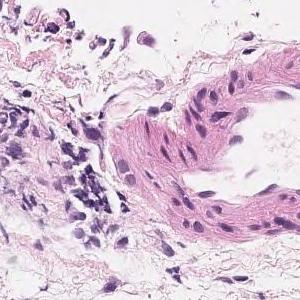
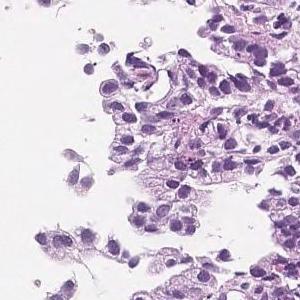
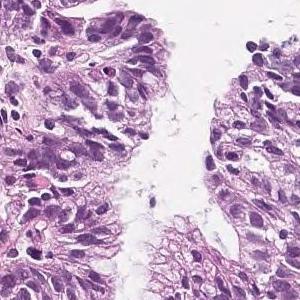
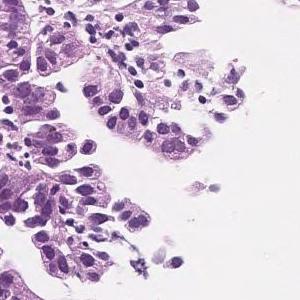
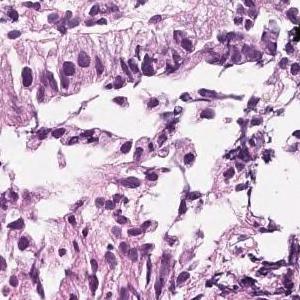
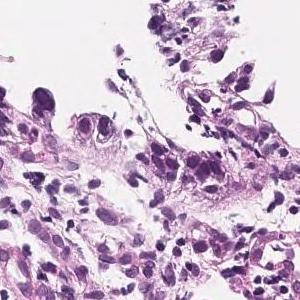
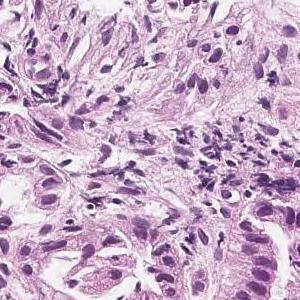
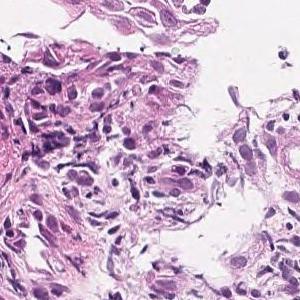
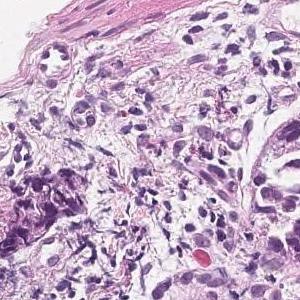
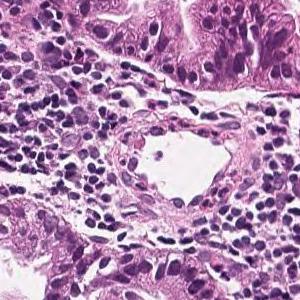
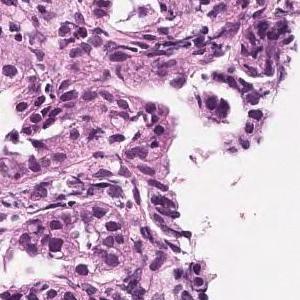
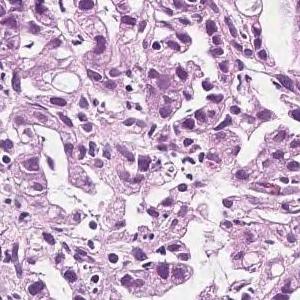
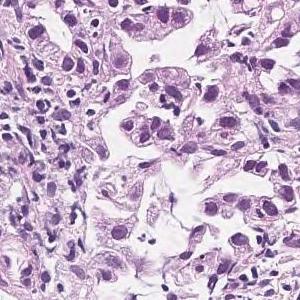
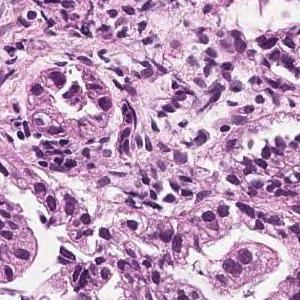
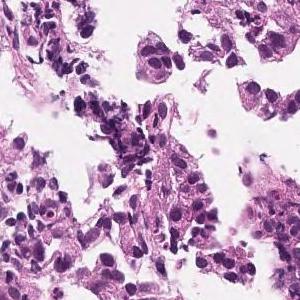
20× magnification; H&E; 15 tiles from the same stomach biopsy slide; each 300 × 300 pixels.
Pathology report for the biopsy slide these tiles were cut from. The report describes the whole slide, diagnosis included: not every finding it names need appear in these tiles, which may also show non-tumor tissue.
In the superficial epithelium, tumor tissue that invades by forming medium-sized to small, irregular ducts is observed. moderately differentiated tubular adenocarcinoma.
